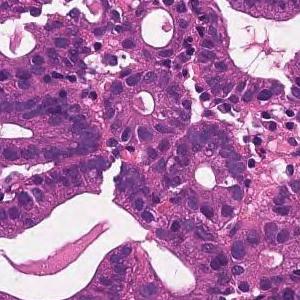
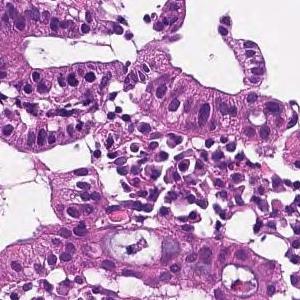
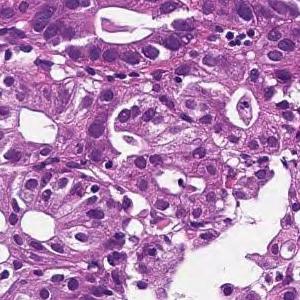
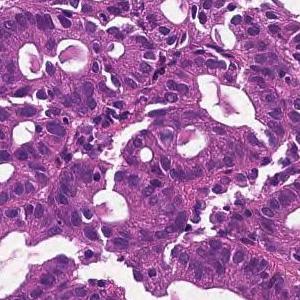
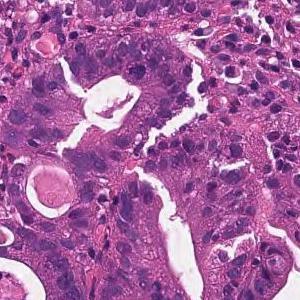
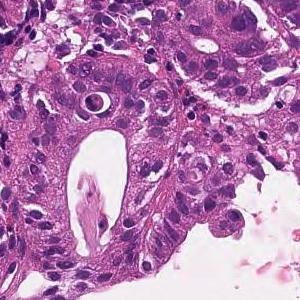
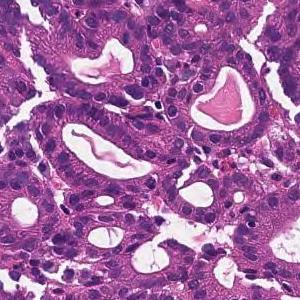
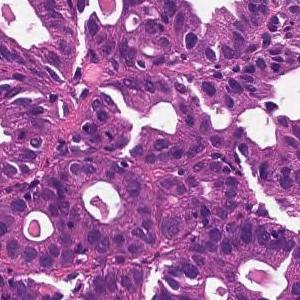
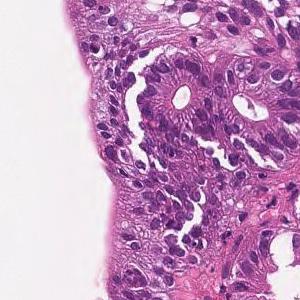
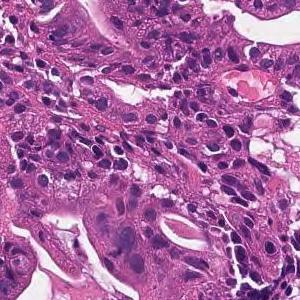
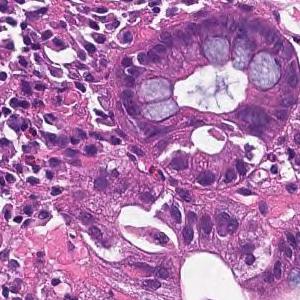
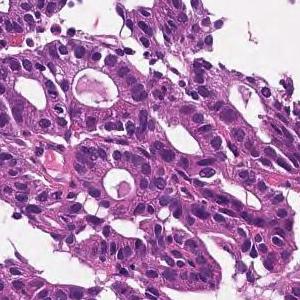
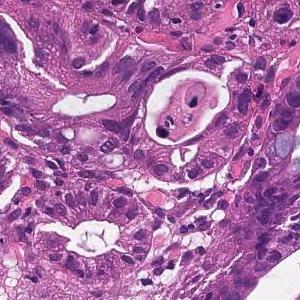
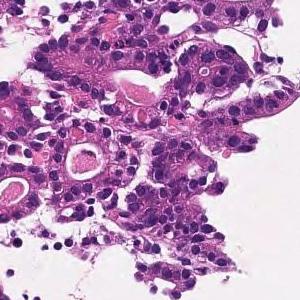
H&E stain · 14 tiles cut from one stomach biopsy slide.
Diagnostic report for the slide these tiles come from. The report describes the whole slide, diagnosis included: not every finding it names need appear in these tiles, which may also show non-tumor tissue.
On the superficial epithelium, tumor tissue consisting of medium-sized irregular glandular ducts partially fused and infiltrated is observed. Well to moderately differentiated tubular adenocarcinoma (well differentiated tubular adenocarcinoma-moderately differentiated tubular adenocarcinoma)
Histological subtype: Well to moderately differentiated tubular adenocarcinoma.
